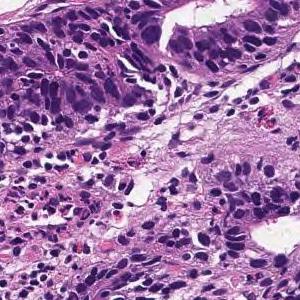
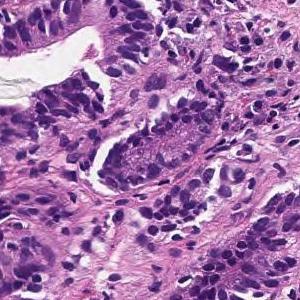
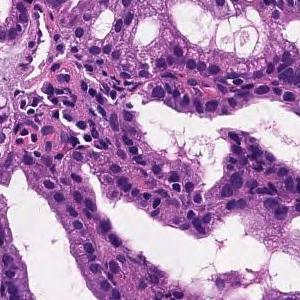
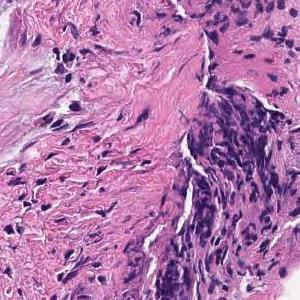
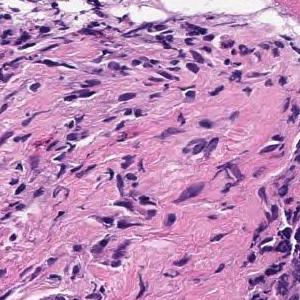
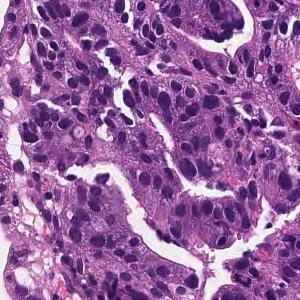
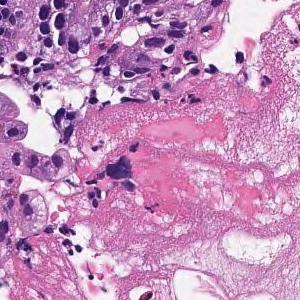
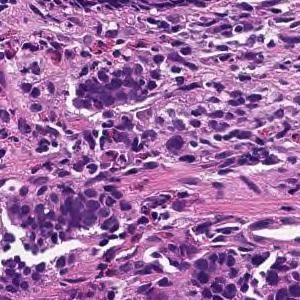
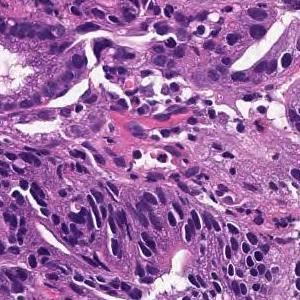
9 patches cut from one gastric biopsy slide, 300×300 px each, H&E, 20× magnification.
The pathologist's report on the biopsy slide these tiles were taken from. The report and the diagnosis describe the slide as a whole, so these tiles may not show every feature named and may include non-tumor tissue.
In the superficial epithelium, tumor tissue that invades by forming medium-sized to small, irregular ducts is observed. moderately differentiated tubular adenocarcinoma.
